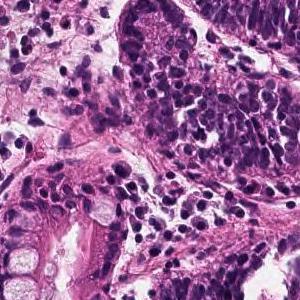
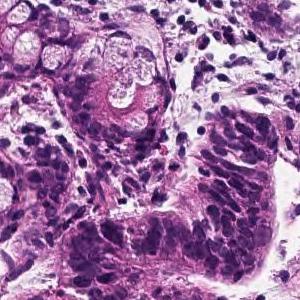
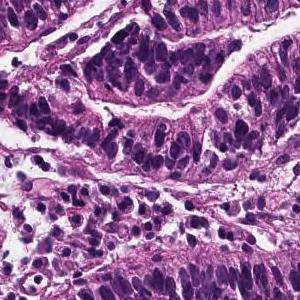
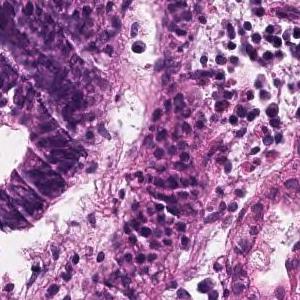
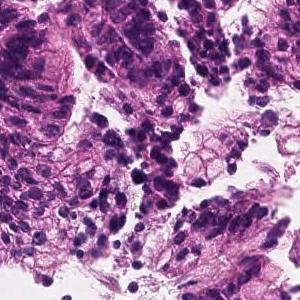
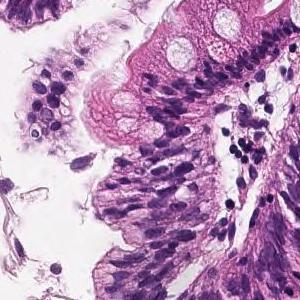
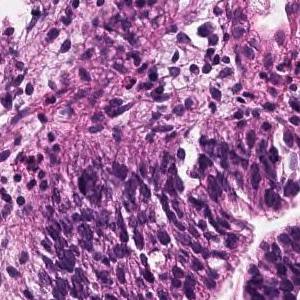
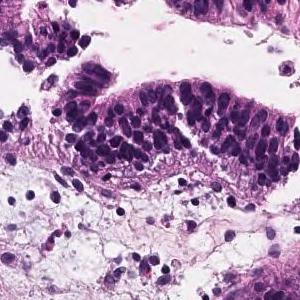
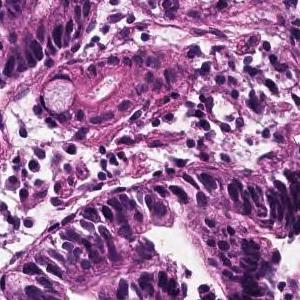
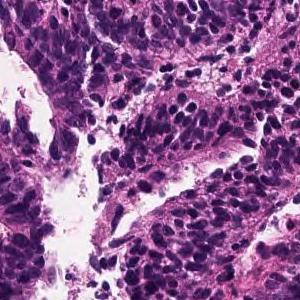
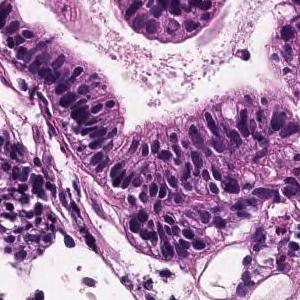
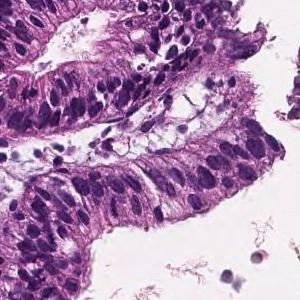
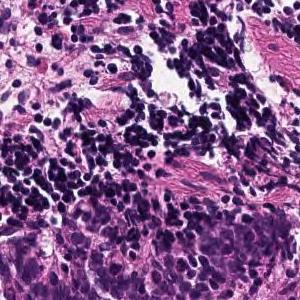
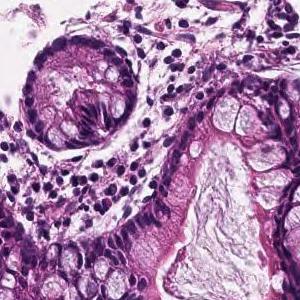
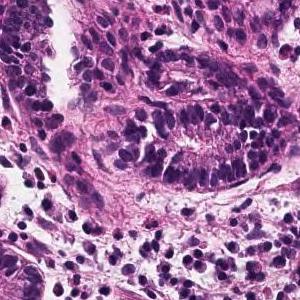
15 tiles cut from one stomach biopsy slide; each 300 × 300 pixels; hematoxylin and eosin stain.
Pathology report for the biopsy slide these tiles were cut from. Both the report and the diagnosis are for the whole slide: these tiles need not show every feature named, and some of the tissue shown may not be tumor.
Tumor cells are large, highly columnar, large club-shaped nuclei, and are associated with chromatin aggregation. Papillary adenocarcinoma.
